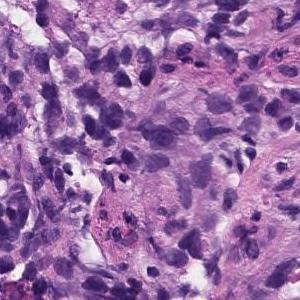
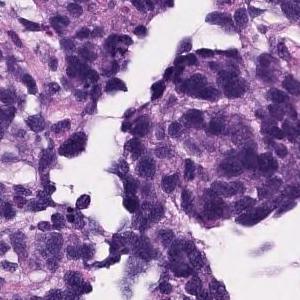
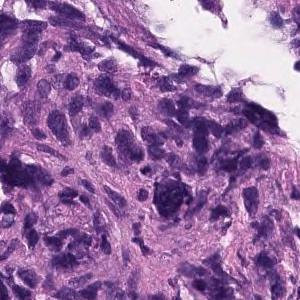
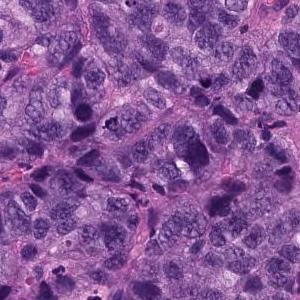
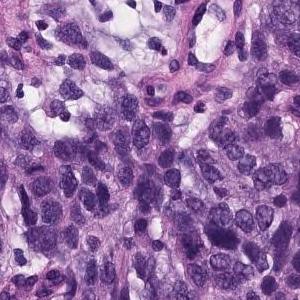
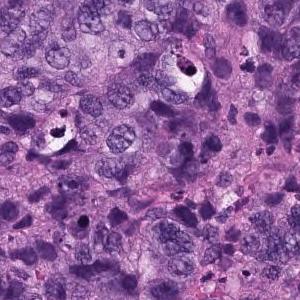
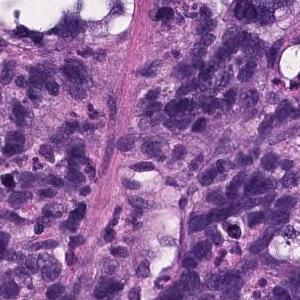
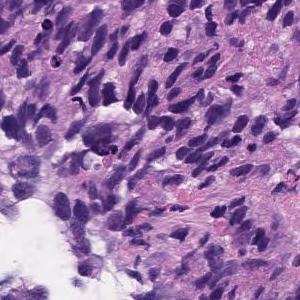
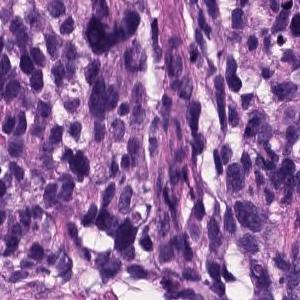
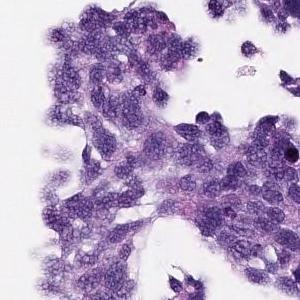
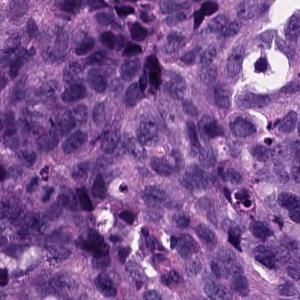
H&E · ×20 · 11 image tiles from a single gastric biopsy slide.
The pathologist's report on the biopsy slide these tiles were taken from. The report and the diagnosis describe the slide as a whole, so these tiles may not show every feature named and may include non-tumor tissue.
Atypical l cells with atypical nuclei under the mucosa growing in isolation and scattered. Poorly differentiated adenocarcinoma (poorly differentiated adenocarcinoma, non-solid type)
Classified as poorly differentiated adenocarcinoma, non-solid type.
The non-solid type named here is a Japanese Classification of Gastric Carcinoma category.
